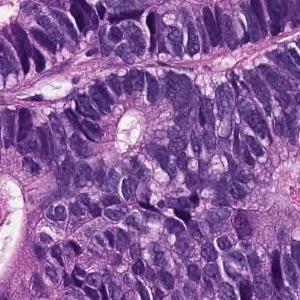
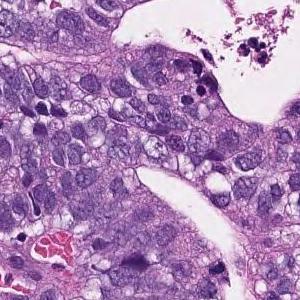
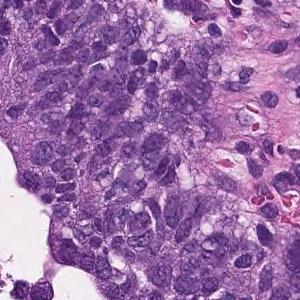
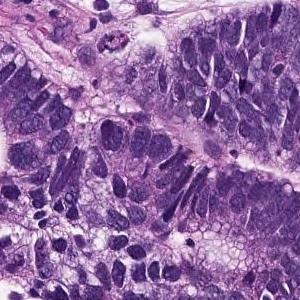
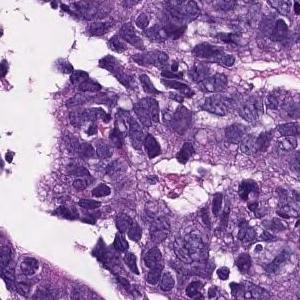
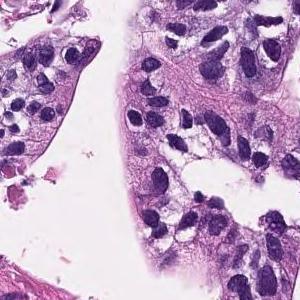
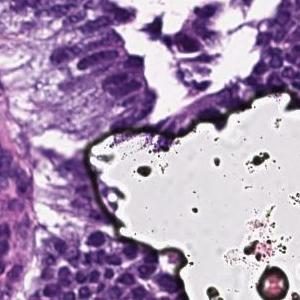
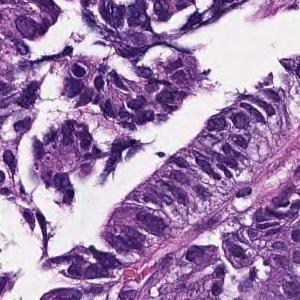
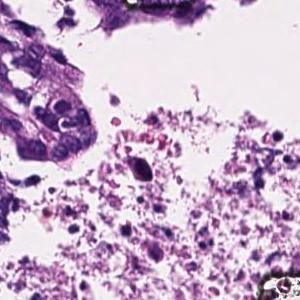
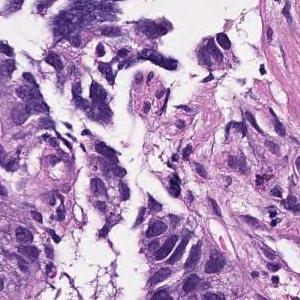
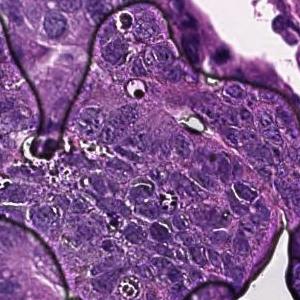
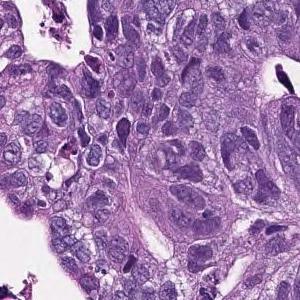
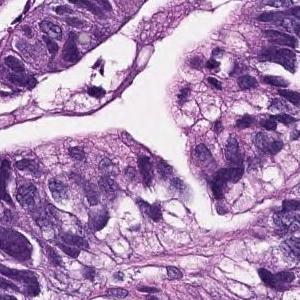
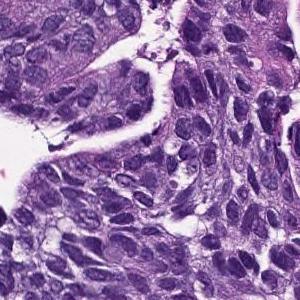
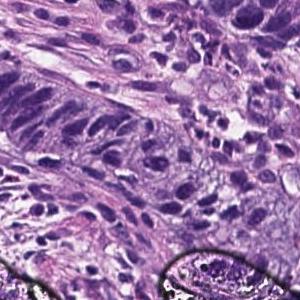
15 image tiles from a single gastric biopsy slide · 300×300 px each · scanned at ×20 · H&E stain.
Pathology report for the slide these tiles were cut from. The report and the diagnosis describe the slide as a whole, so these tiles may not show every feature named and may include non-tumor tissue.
In the superficial epithelium, tumor tissue that invades by forming medium-sized to small, irregular ducts is observed. moderately differentiated tubular adenocarcinoma.
